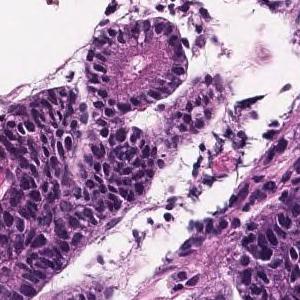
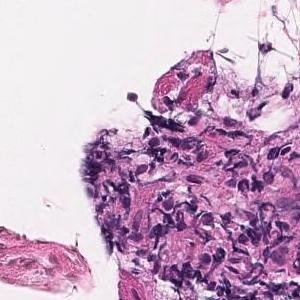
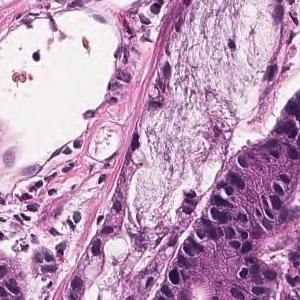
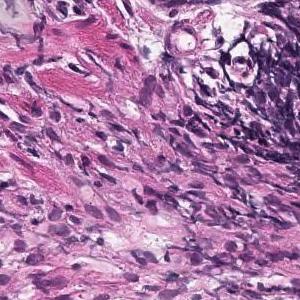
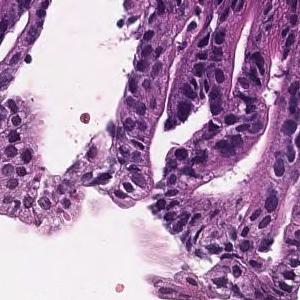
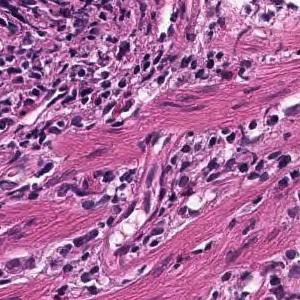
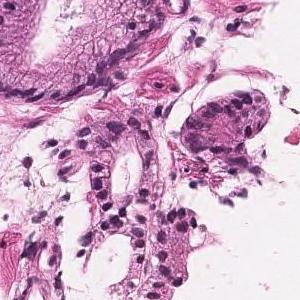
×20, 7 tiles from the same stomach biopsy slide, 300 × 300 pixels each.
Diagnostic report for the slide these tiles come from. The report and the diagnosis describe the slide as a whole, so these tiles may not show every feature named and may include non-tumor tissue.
Tumor tissue with atypical epithelium showing irregular ductal or sieving ductal structure and proliferating is observed. Well to moderately differentiated tubular adenocarcinoma (well differentiated tubular adenocarcinoma-moderately differentiated tubular adenocarcinoma)
Histologic type: Well to moderately differentiated tubular adenocarcinoma.
